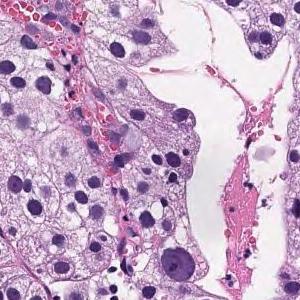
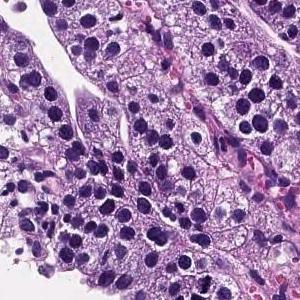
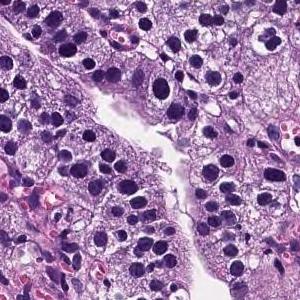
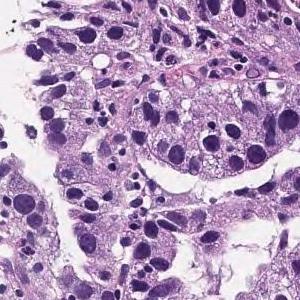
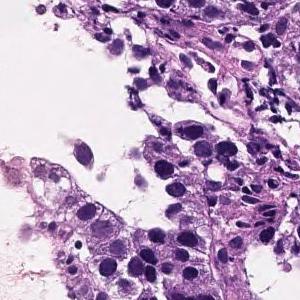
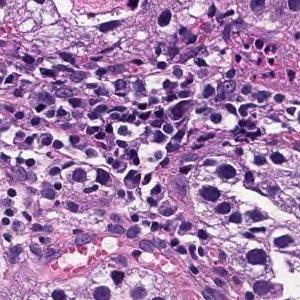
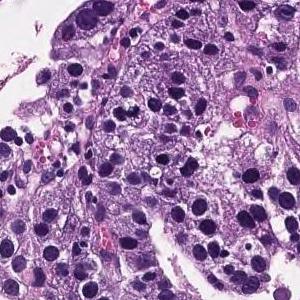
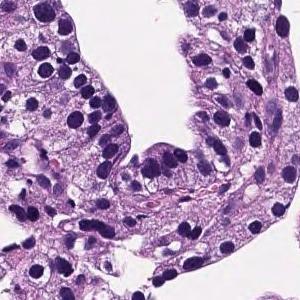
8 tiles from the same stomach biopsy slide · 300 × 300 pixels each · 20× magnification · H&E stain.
Pathology report for the slide these tiles were cut from. The report and the diagnosis describe the slide as a whole, so these tiles may not show every feature named and may include non-tumor tissue.
On the superficial epithelium, tumor tissue that infiltrates by forming medium-sized papillary or small irregular ducts is observed. Papillary adenocarcinoma
